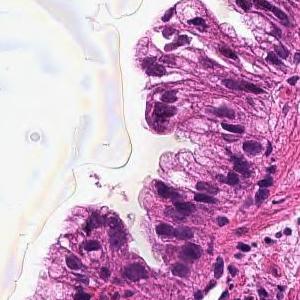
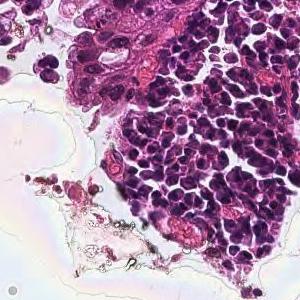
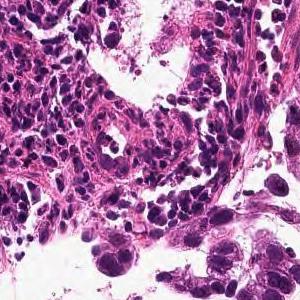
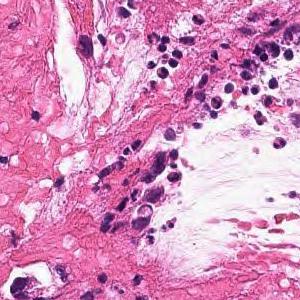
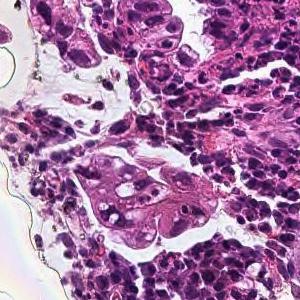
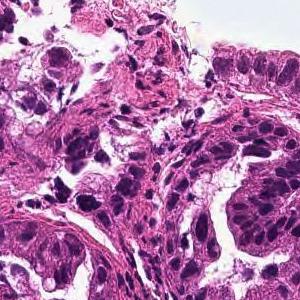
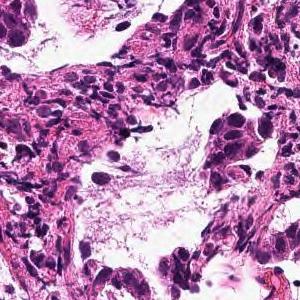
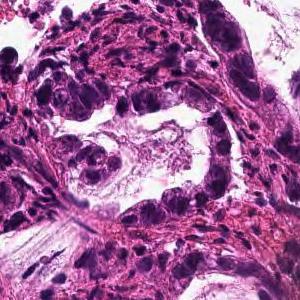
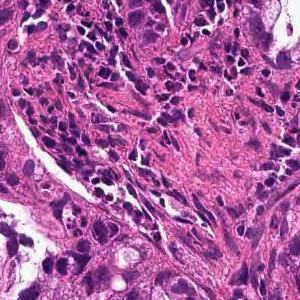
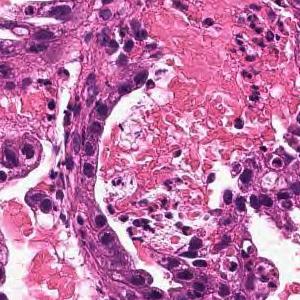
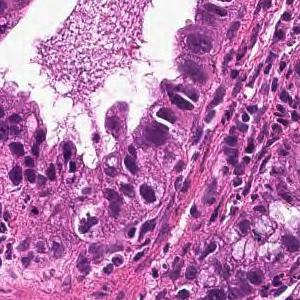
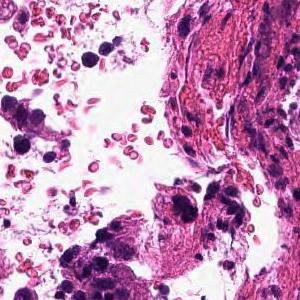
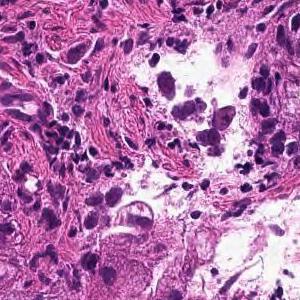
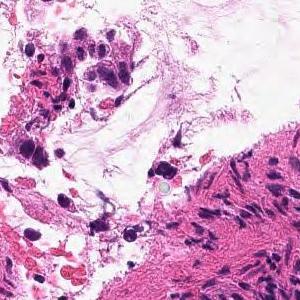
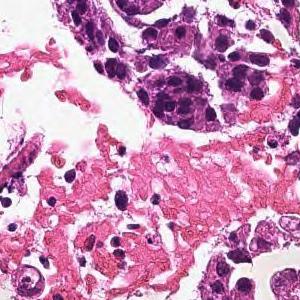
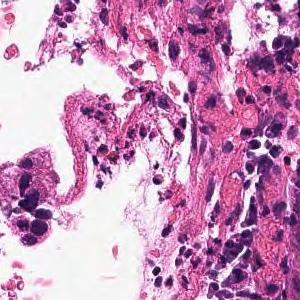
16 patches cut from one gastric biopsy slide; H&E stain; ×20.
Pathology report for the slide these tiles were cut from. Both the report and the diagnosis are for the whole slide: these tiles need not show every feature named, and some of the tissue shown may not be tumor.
From the superficial epithelium to the muscularis mucosae, tumor tissue infiltrating by forming medium-sized irregular gland ducts is observed. Well differentiated tubular adenocarcinoma
